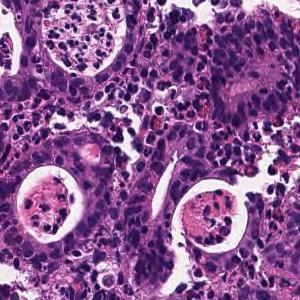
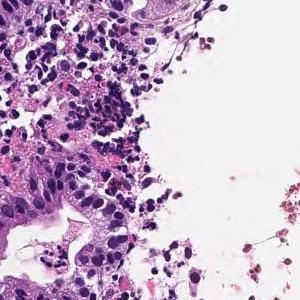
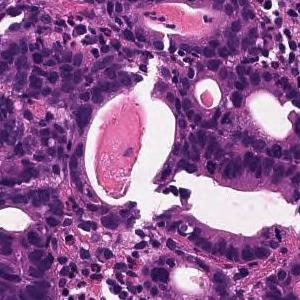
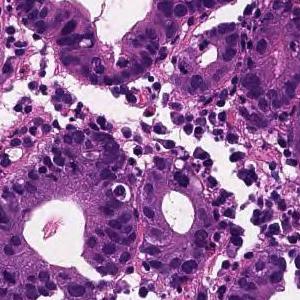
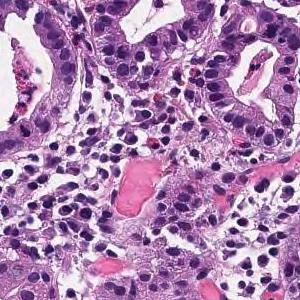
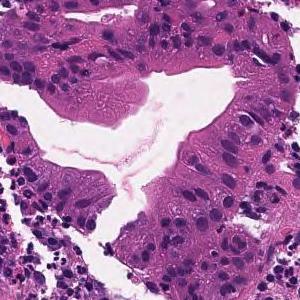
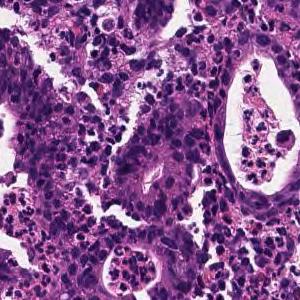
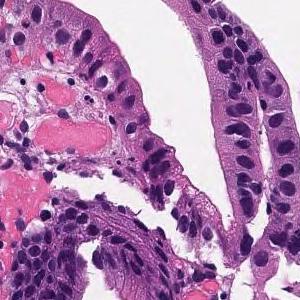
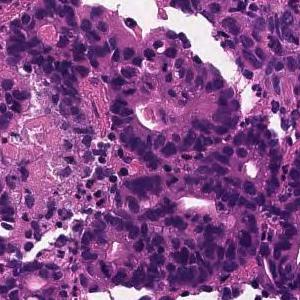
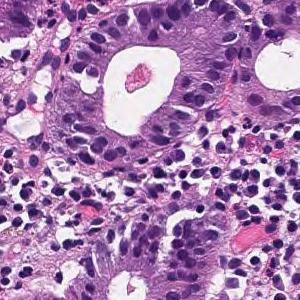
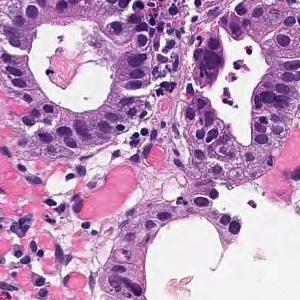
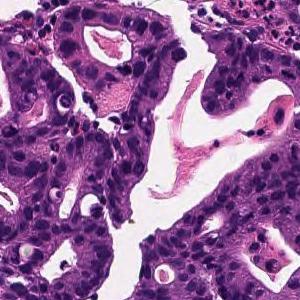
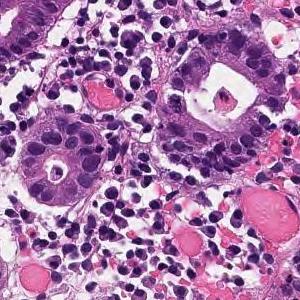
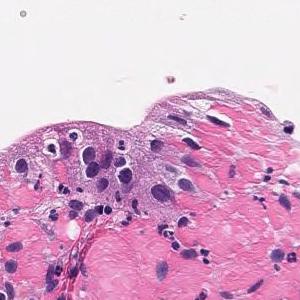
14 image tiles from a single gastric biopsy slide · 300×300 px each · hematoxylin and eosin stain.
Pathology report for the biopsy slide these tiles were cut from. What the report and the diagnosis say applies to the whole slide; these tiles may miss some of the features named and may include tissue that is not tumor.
In the superficial epithelium, tumor tissue that invades by forming medium-sized to small, irregular ducts is observed. moderately differentiated tubular adenocarcinoma.
